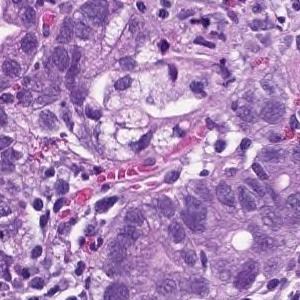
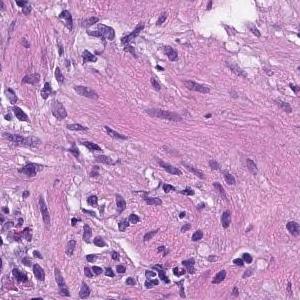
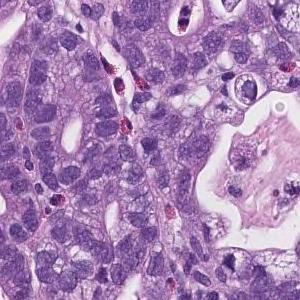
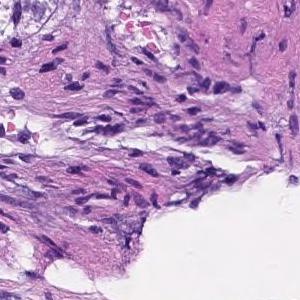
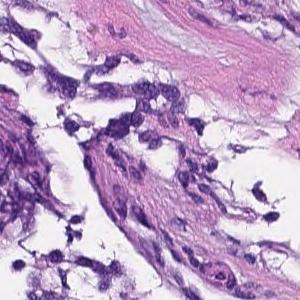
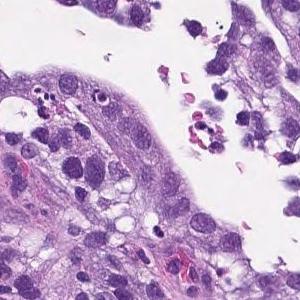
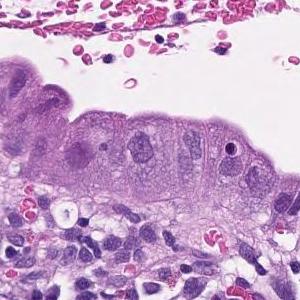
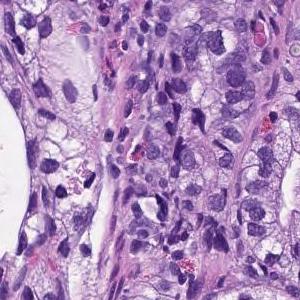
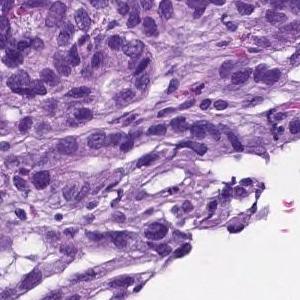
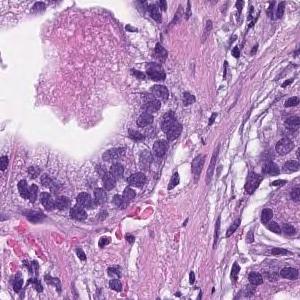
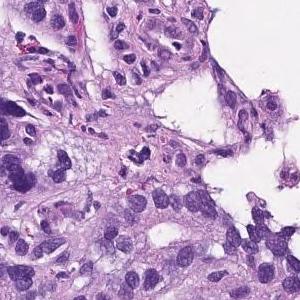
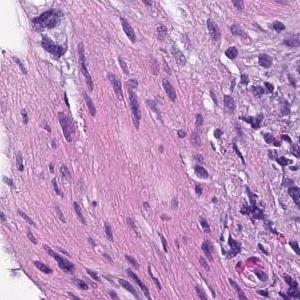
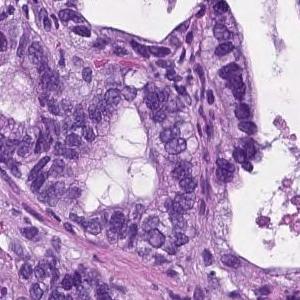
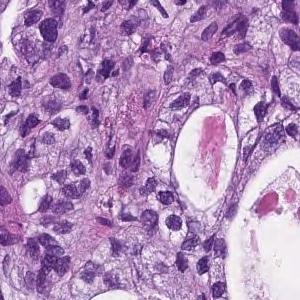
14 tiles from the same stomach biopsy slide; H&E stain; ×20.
Pathology report for the biopsy slide these tiles were cut from. The report and the diagnosis cover the entire slide, so not every feature they name need be visible here, and some tissue shown may not be tumor.
From the superficial epithelium to the muscularis mucosae, tumor tissue consisting of medium-sized and irregular glandular ducts infiltrating is observed. Well differentiated tubular adenocarcinoma
